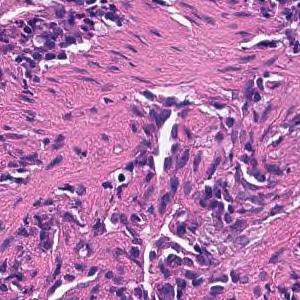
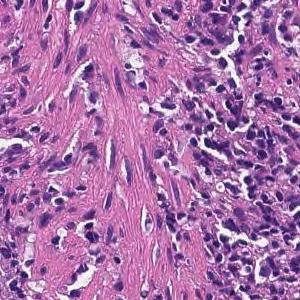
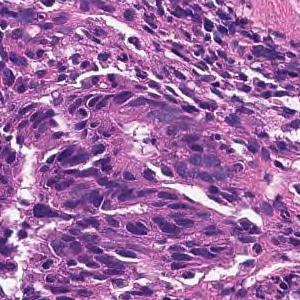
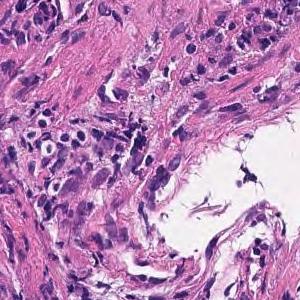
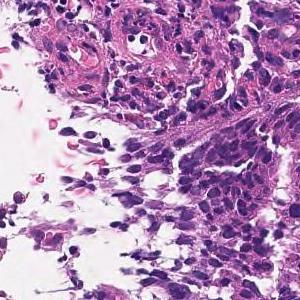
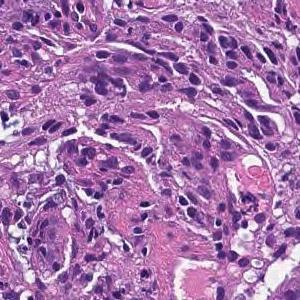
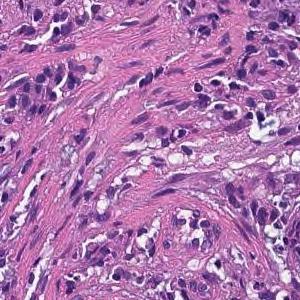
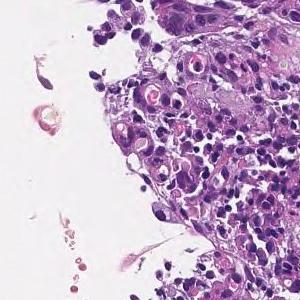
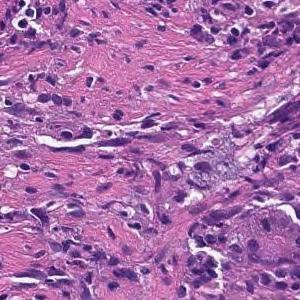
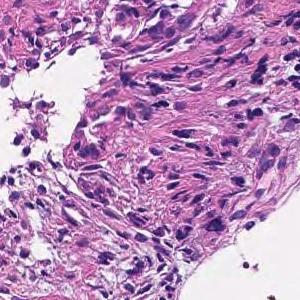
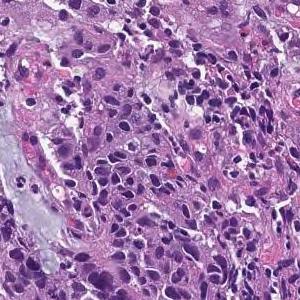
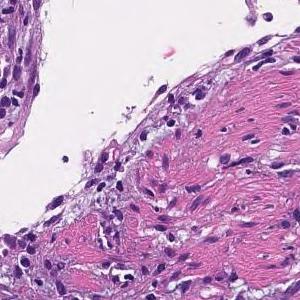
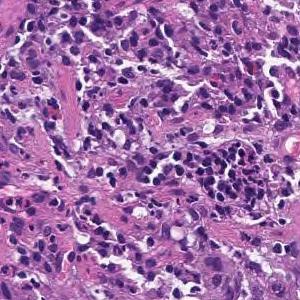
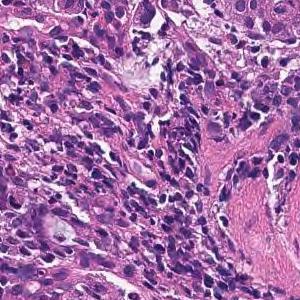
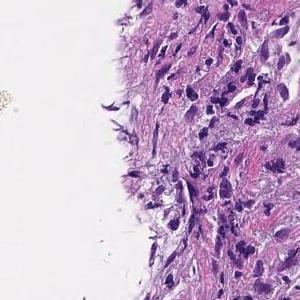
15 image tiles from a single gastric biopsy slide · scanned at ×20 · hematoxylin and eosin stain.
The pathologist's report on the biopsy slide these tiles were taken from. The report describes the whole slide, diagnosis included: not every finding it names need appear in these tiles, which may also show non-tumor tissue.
On the superficial epithelium, tumor tissue consisting of large, irregular glandular ducts partially fused and infiltrated is observed. Well to moderately differentiated tubular adenocarcinoma (well differentiated tubular adenocarcinoma, moderately differentiated tubular adenocarcinoma)
Subtype: Well to moderately differentiated tubular adenocarcinoma.
